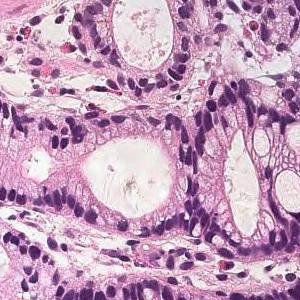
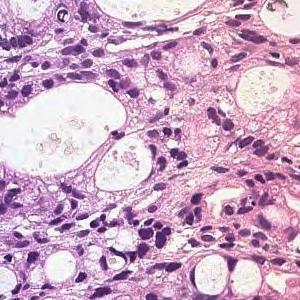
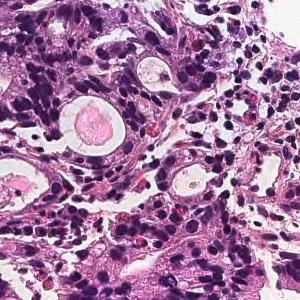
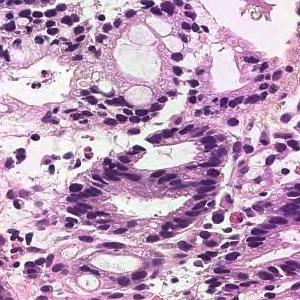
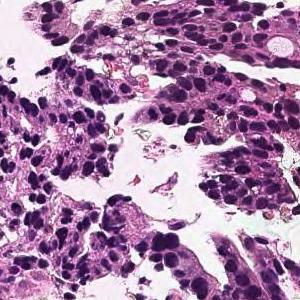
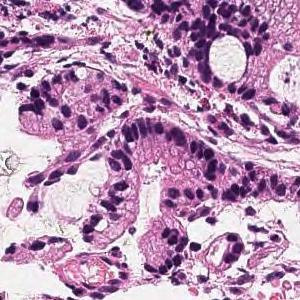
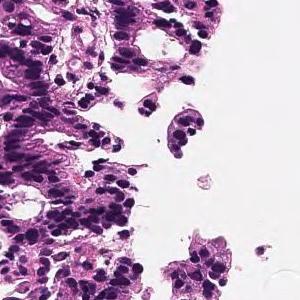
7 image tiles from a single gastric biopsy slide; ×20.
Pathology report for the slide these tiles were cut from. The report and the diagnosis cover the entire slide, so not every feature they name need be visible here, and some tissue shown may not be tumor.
In the superficial epithelium, tumor tissue that invades by forming medium-sized to small, irregular ducts is observed. moderately differentiated tubular adenocarcinoma.
